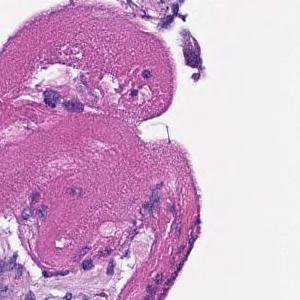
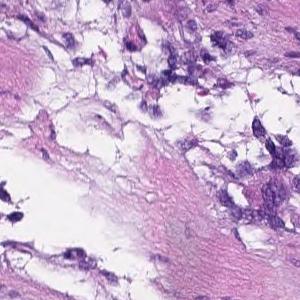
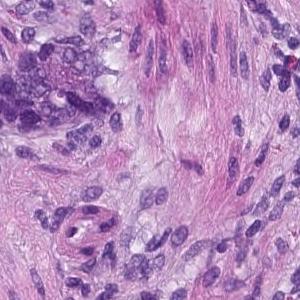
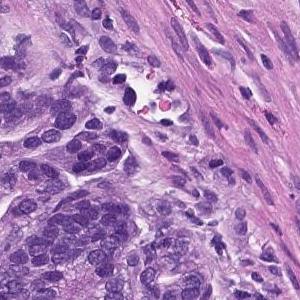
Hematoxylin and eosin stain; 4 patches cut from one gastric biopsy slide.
Diagnostic report for the slide these tiles come from. The report describes the whole slide, diagnosis included: not every finding it names need appear in these tiles, which may also show non-tumor tissue.
From the superficial epithelium to the muscularis mucosae, tumor tissue consisting of medium-sized and irregular glandular ducts infiltrating is observed. Well differentiated tubular adenocarcinoma
